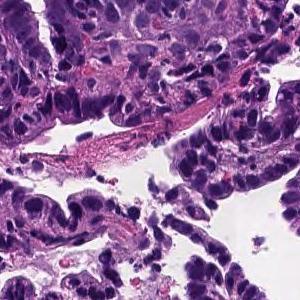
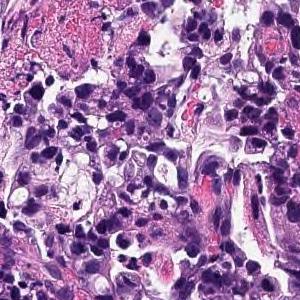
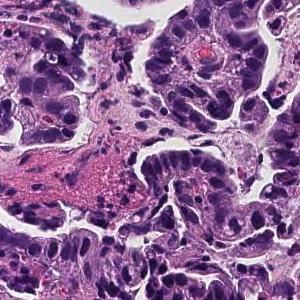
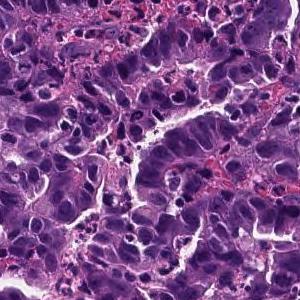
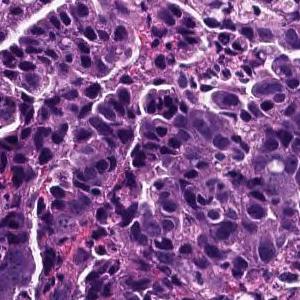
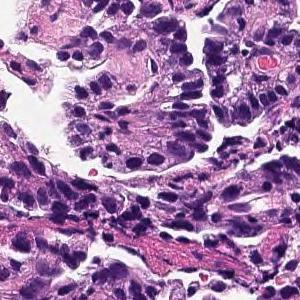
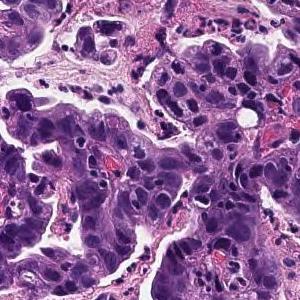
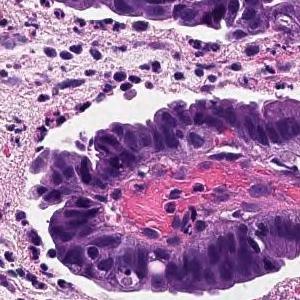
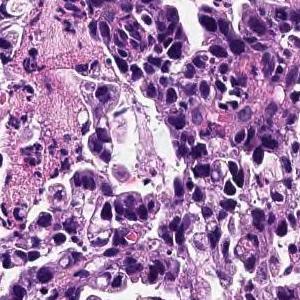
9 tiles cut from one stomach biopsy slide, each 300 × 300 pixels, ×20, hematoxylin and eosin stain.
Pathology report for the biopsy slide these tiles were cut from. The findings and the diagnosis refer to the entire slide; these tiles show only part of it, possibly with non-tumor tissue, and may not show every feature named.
Infiltrating tumor tissue is observed in the superficial epithelium, showing large papillary structures or large and small ducts. Papillary adenocarcinoma
